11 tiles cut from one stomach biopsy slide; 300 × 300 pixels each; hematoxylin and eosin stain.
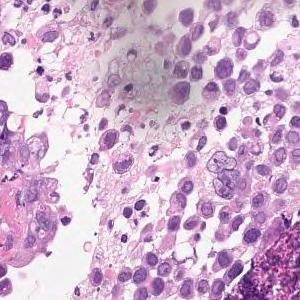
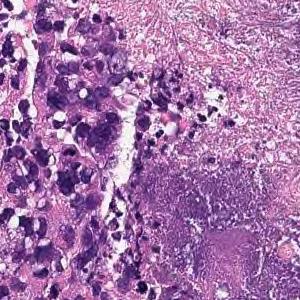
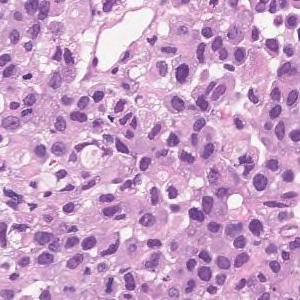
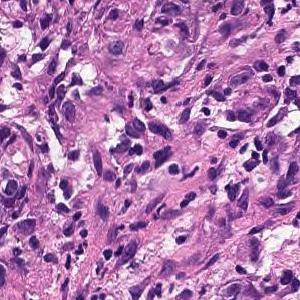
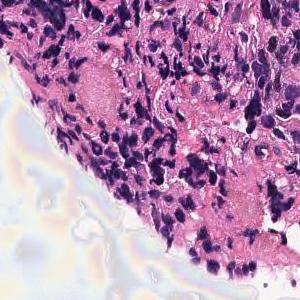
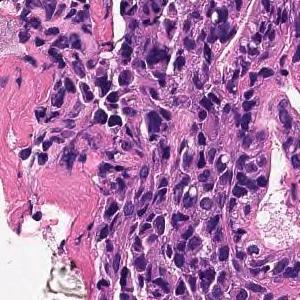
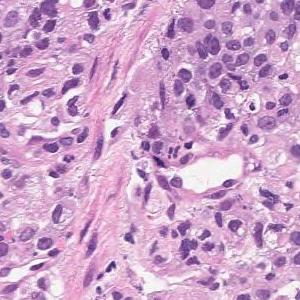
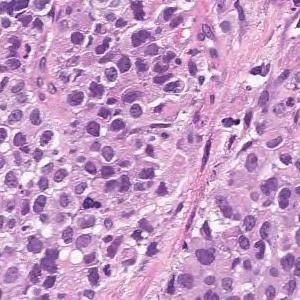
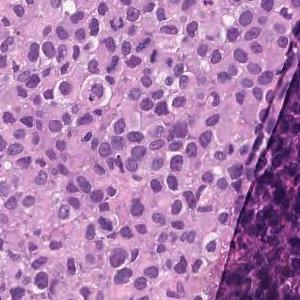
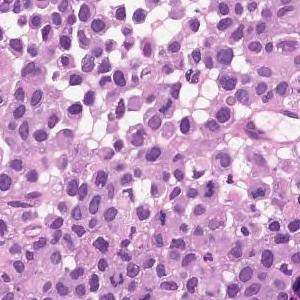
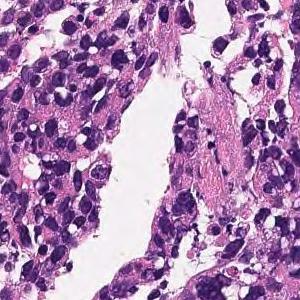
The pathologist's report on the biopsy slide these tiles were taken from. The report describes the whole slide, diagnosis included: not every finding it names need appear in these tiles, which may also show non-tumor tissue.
Large sheet-like or diffusely infiltrating tumor tissue is found in the superficial epithelium. Poorly differentiated adenocarcinoma, solid-type
Subtype: Poorly differentiated adenocarcinoma, solid type (Japanese Classification of Gastric Carcinoma). The WHO 2019 equivalent is tubular adenocarcinoma, poorly differentiated.
